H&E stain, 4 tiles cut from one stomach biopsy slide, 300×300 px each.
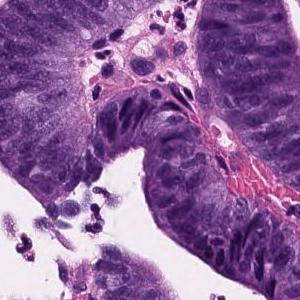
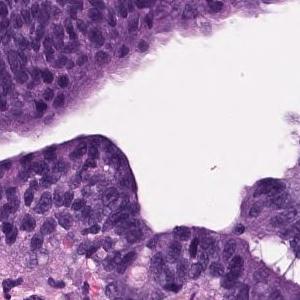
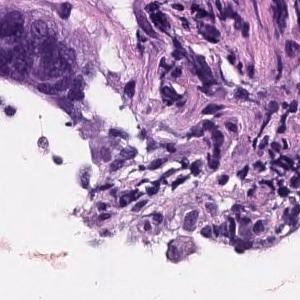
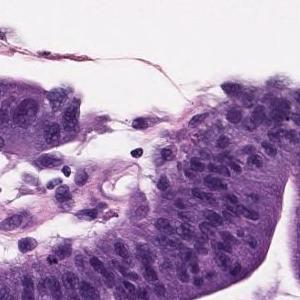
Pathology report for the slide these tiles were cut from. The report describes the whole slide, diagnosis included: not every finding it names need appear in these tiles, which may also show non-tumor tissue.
Papillo-tubular growth of atypical tubules with nuclear swelling is observed. Well differentiated tubular adenocarcinoma
